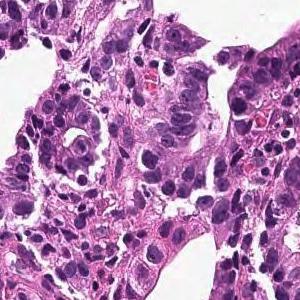
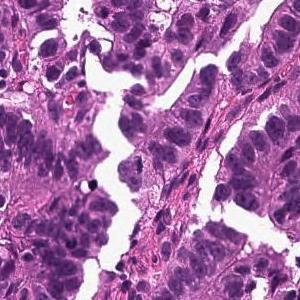
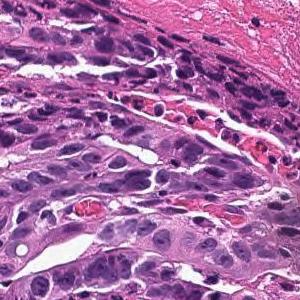
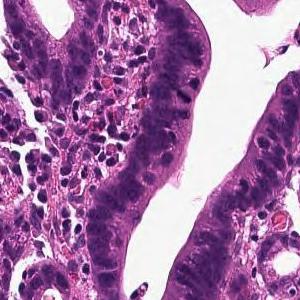
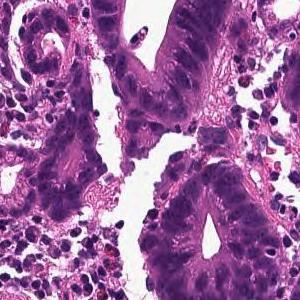
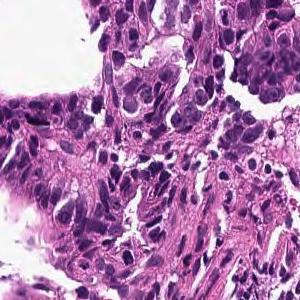
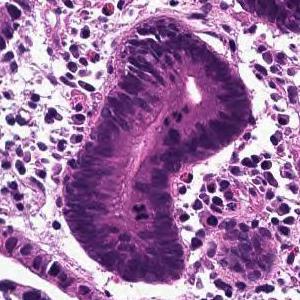
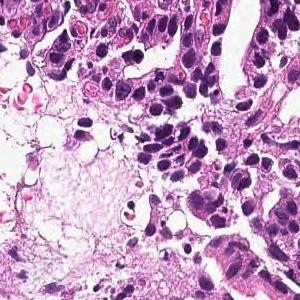
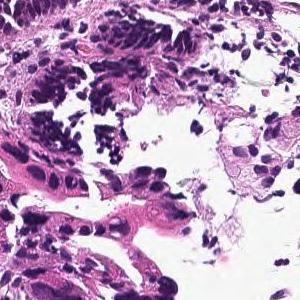
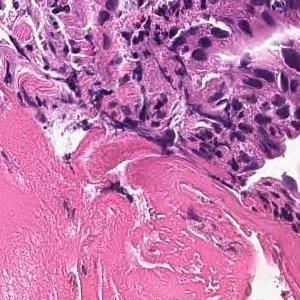
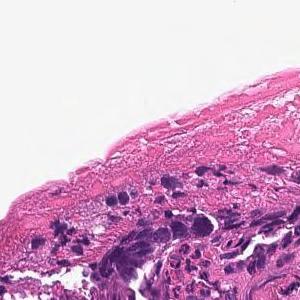
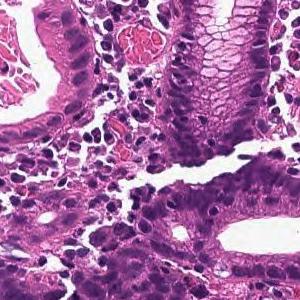
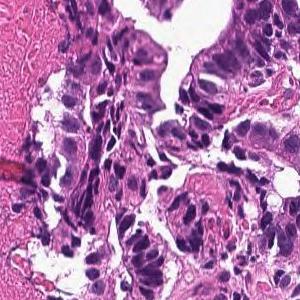
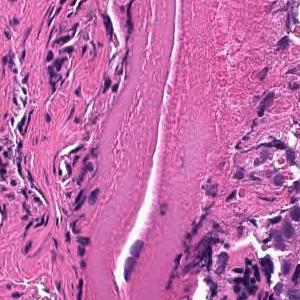
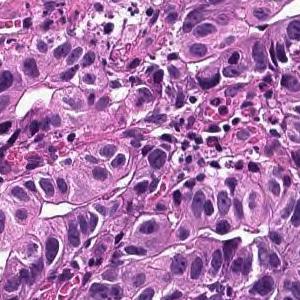
H&E stain · 15 tiles cut from one stomach biopsy slide · 300 × 300 pixels each.
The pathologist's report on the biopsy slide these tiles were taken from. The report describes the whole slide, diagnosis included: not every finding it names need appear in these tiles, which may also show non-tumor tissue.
On the superficial epithelium, tumor tissue consisting of large, irregular glandular ducts partially fused and infiltrated is observed. Well to moderately differentiated tubular adenocarcinoma (well differentiated tubular adenocarcinoma, moderately differentiated tubular adenocarcinoma)
Histological subtype: Well to moderately differentiated tubular adenocarcinoma.
